H&E stain, ×20, 5 tiles from the same stomach biopsy slide, each 300 × 300 pixels.
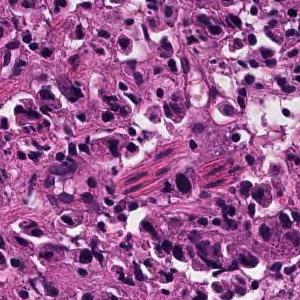
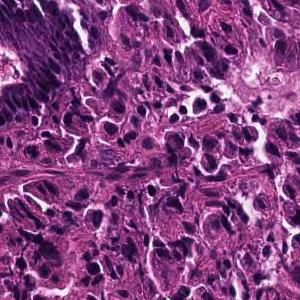
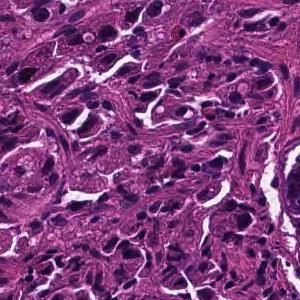
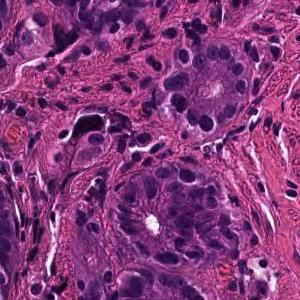
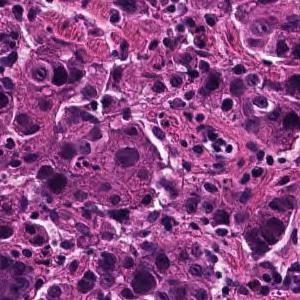
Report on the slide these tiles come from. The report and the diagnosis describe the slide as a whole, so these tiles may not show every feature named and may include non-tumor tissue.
Tumor tissue consisting of cord-like or small, irregular glandular ducts fused and infiltrated is observed in the superficial epithelium. Poorly differentiated adenocarcinoma, non-solid type
"Non-solid type" is a category of the Japanese Classification of Gastric Carcinoma.
